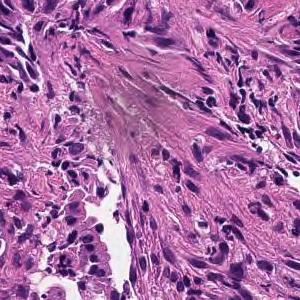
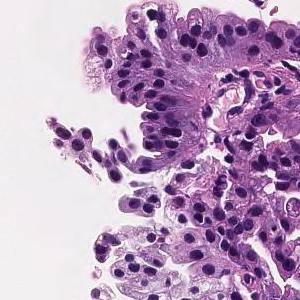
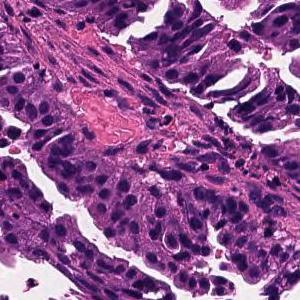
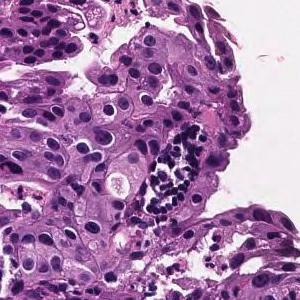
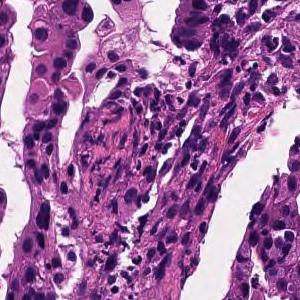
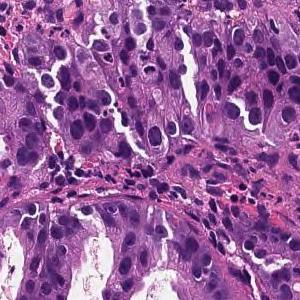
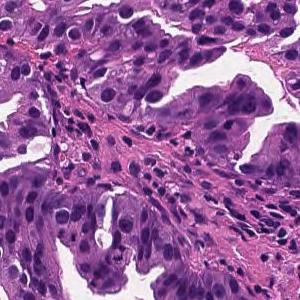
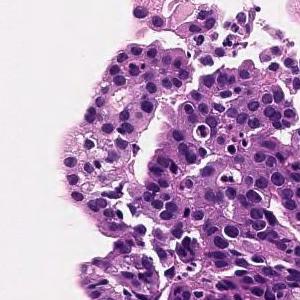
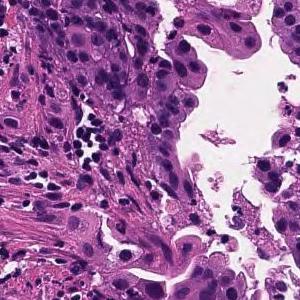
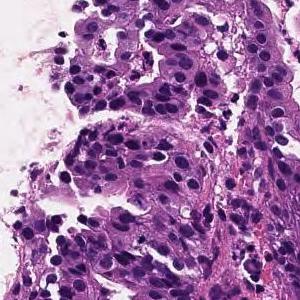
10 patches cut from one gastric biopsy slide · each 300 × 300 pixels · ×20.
Diagnostic report for the slide these tiles come from. The report and the diagnosis describe the slide as a whole, so these tiles may not show every feature named and may include non-tumor tissue.
On the superficial epithelium, tumor tissue consisting of large, irregular glandular ducts partially fused and infiltrated is observed. Well to moderately differentiated tubular adenocarcinoma (well differentiated tubular adenocarcinoma, moderately differentiated tubular adenocarcinoma)
Subtype: Well to moderately differentiated tubular adenocarcinoma.
